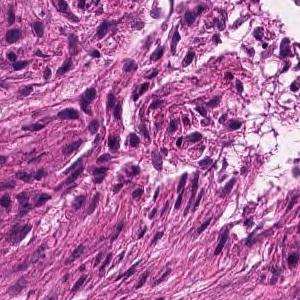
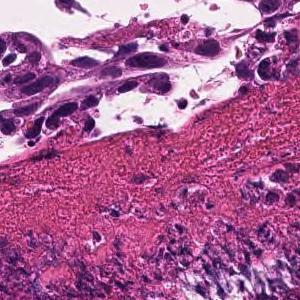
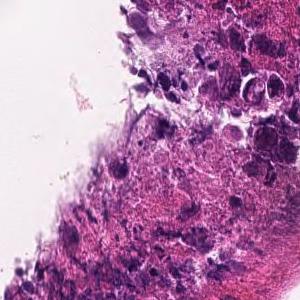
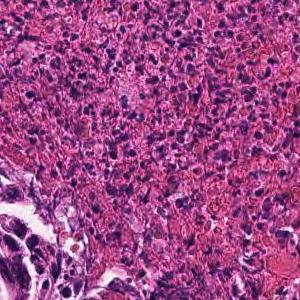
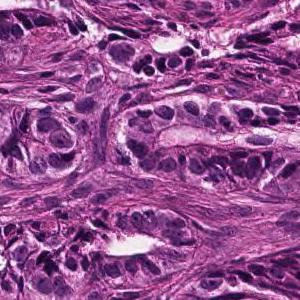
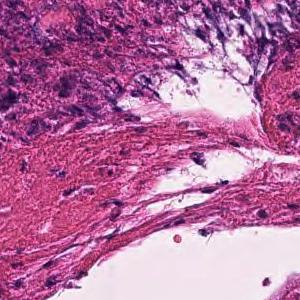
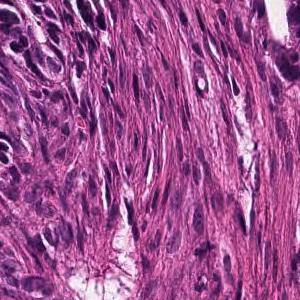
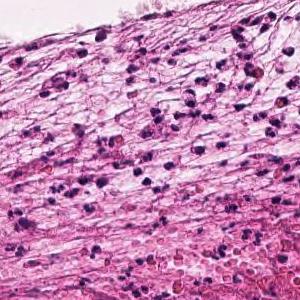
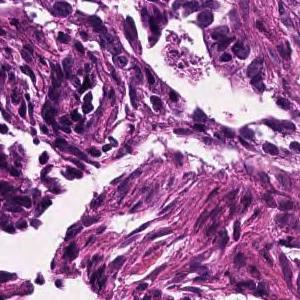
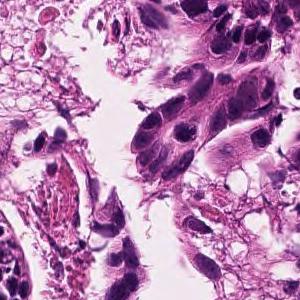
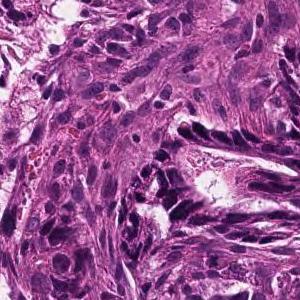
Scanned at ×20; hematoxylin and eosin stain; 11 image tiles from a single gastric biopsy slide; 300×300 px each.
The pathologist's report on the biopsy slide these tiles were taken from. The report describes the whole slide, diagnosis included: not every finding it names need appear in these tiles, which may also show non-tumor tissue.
In the superficial epithelium, tumor tissue that invades by forming medium-sized to small, irregular ducts is observed. moderately differentiated tubular adenocarcinoma.
